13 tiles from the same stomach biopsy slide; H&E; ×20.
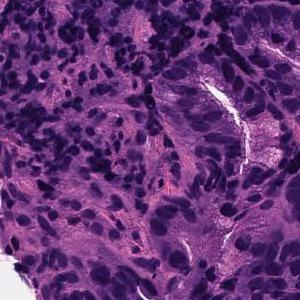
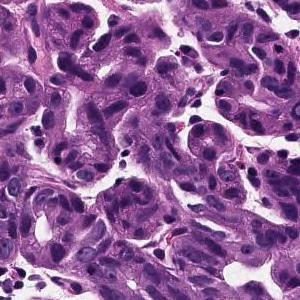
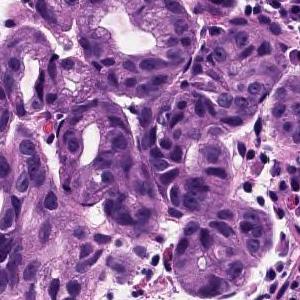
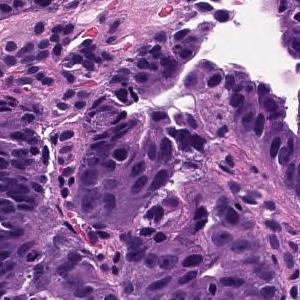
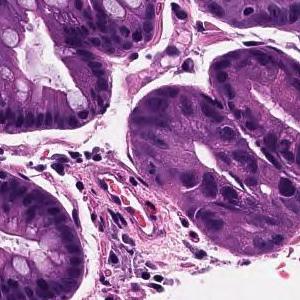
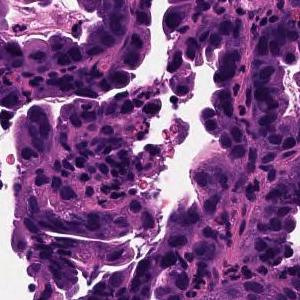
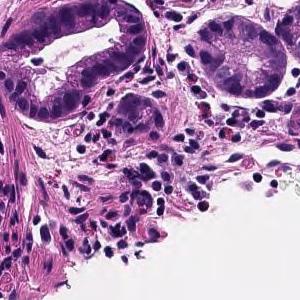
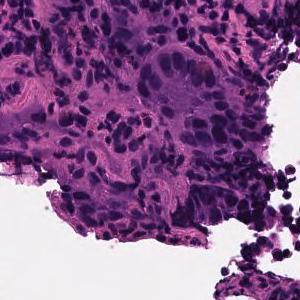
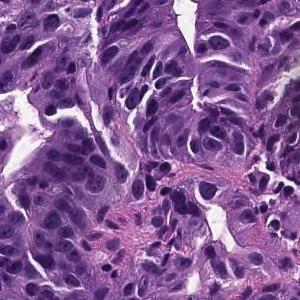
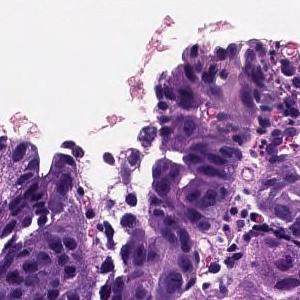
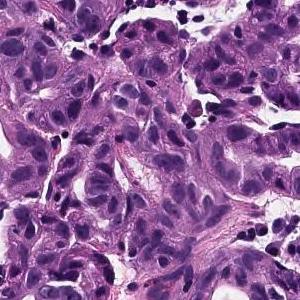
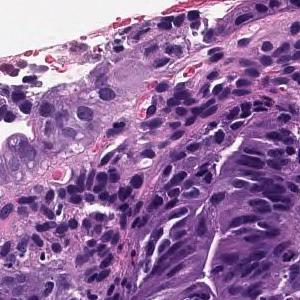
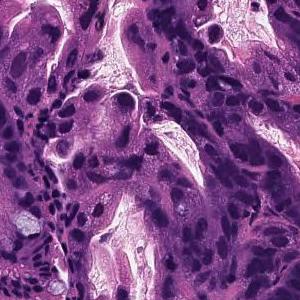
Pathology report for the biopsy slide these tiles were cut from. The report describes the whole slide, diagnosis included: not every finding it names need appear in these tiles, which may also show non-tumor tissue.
On the superficial epithelium, tumor tissue consisting of large irregular glandular ducts partially fused and infiltrated is observed. Well to moderately differentiated tubular adenocarcinoma (well differentiated tubular adenocarcinoma, moderately differentiated tubular adenocarcinoma)
Histologic type: Well to moderately differentiated tubular adenocarcinoma.
